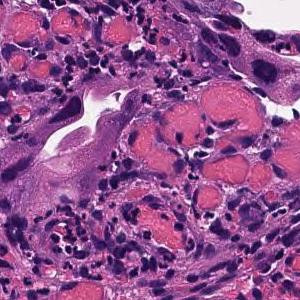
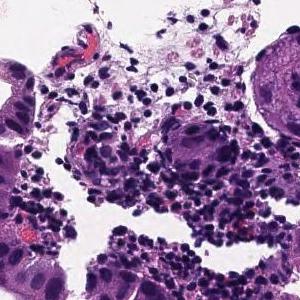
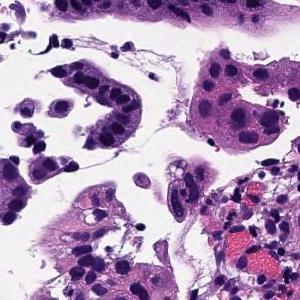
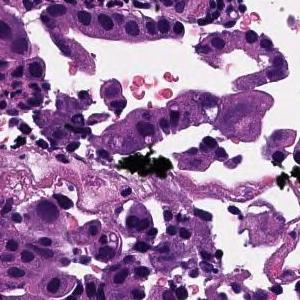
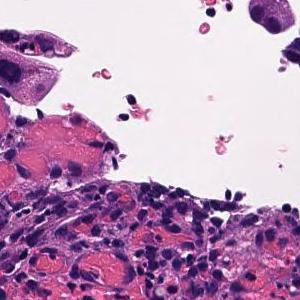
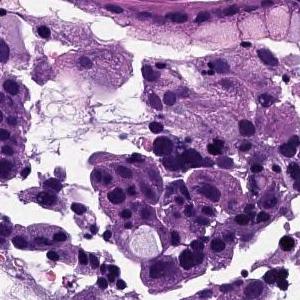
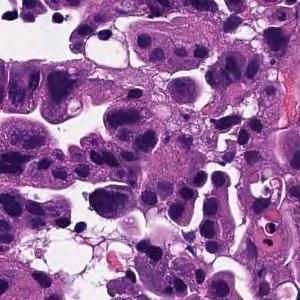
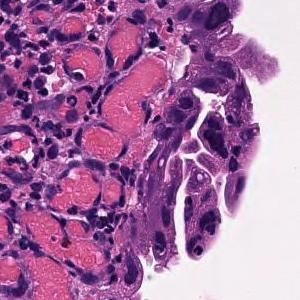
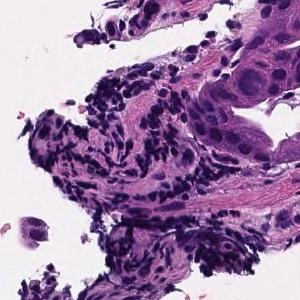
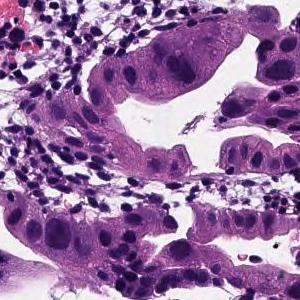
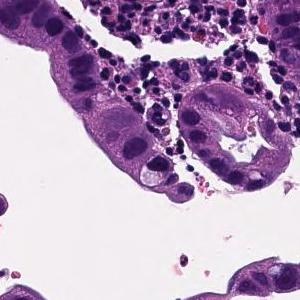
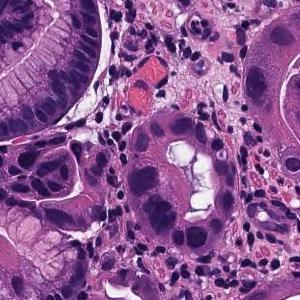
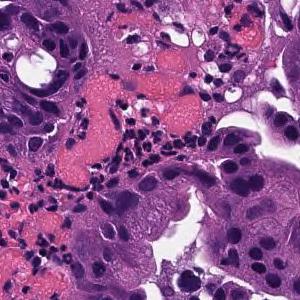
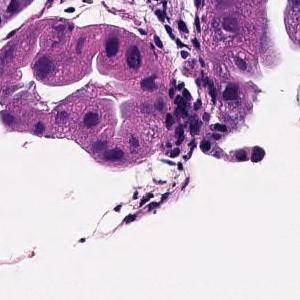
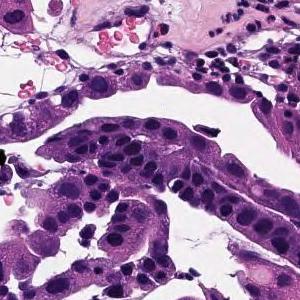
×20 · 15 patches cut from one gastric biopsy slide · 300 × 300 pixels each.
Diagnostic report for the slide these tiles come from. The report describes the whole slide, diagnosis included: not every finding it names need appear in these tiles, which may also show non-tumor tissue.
Tumor tissue consisting of large papillary structures is found in the superficial epithelium. Papillary adenocarcinoma.
